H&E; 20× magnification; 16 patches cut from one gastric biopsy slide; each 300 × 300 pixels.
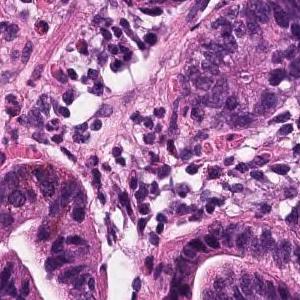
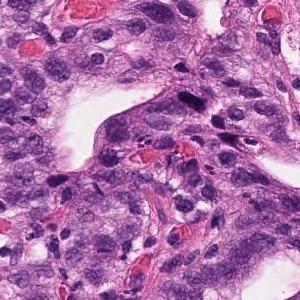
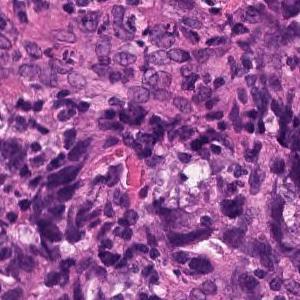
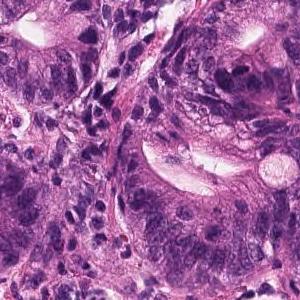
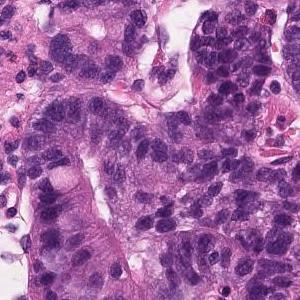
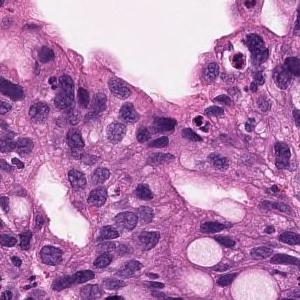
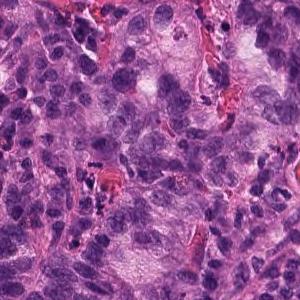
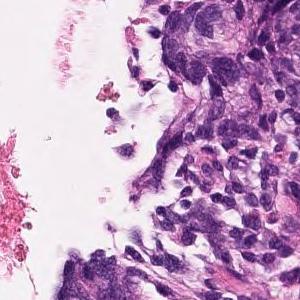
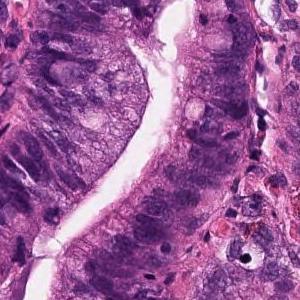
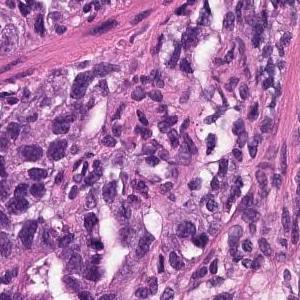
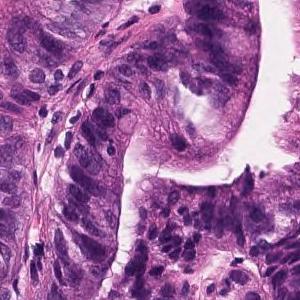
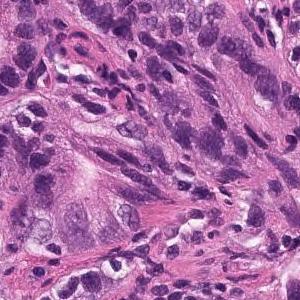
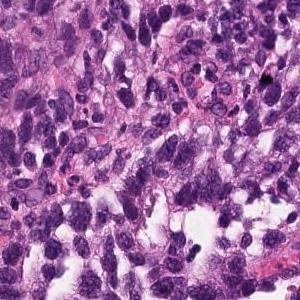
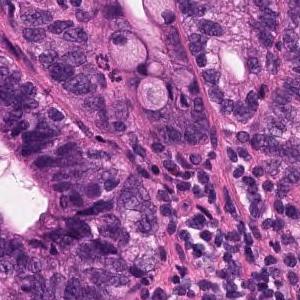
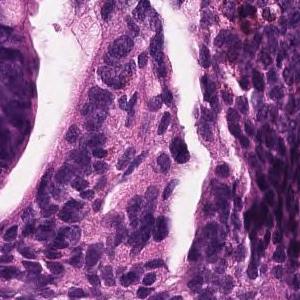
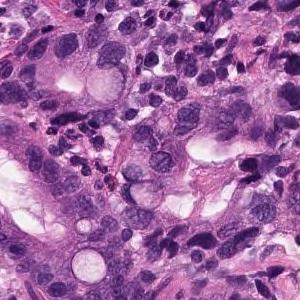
Report on the slide these tiles come from. What the report and the diagnosis say applies to the whole slide; these tiles may miss some of the features named and may include tissue that is not tumor.
In the superficial epithelium, tumor tissue that invades by forming medium-sized to small, irregular ducts is observed. Moderately differentiated adenocarcinoma.
Subtype: Moderately differentiated tubular adenocarcinoma.
